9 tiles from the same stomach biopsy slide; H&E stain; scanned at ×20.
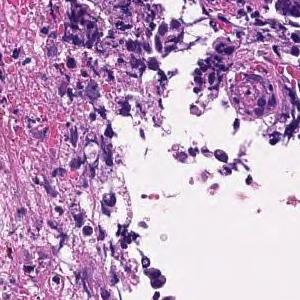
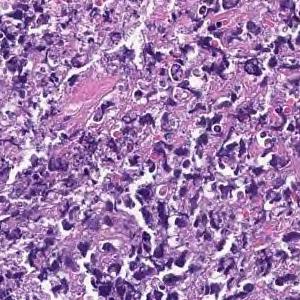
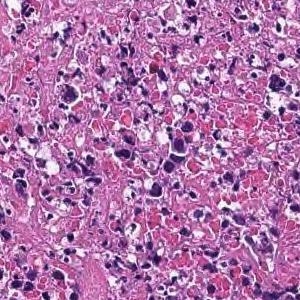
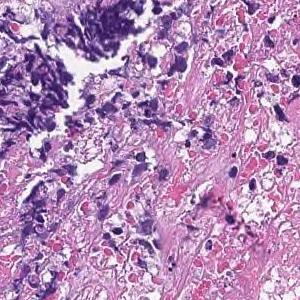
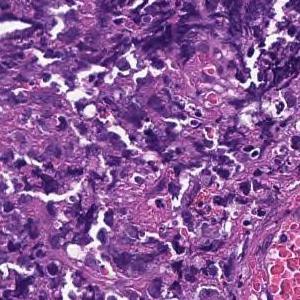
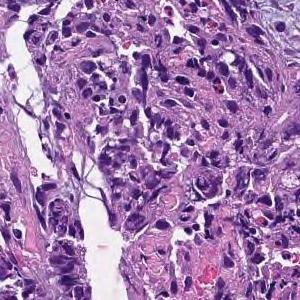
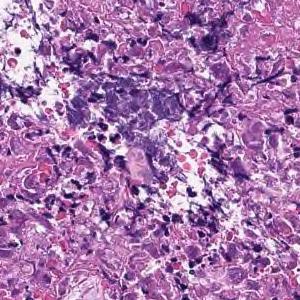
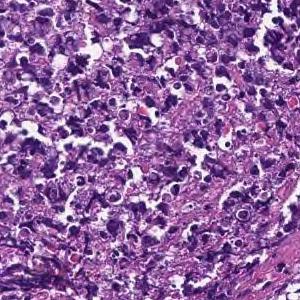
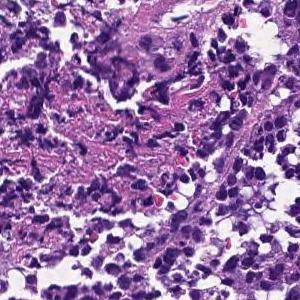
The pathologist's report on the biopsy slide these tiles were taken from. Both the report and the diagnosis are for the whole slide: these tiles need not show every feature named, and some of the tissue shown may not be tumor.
Most are composed of coagulative necrotic tissue, but some show a large sheet-like shape, and some show tumor tissue infiltrating with a small cord-like structure. Poorly differentiated adenocarcinoma, solid-type
Classified as poorly differentiated adenocarcinoma, solid type, a category of the Japanese Classification of Gastric Carcinoma; in the WHO 2019 classification it is tubular adenocarcinoma, poorly differentiated.
